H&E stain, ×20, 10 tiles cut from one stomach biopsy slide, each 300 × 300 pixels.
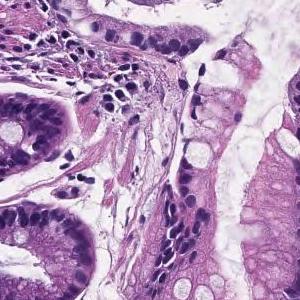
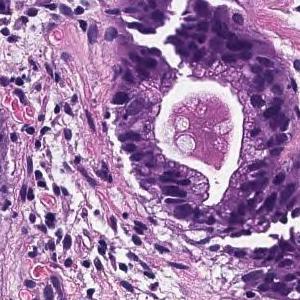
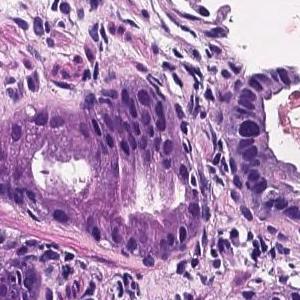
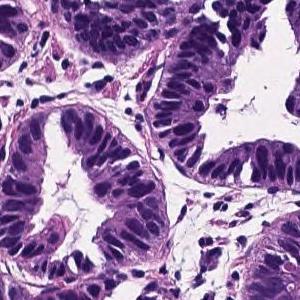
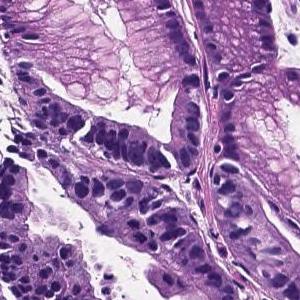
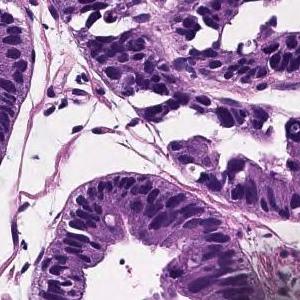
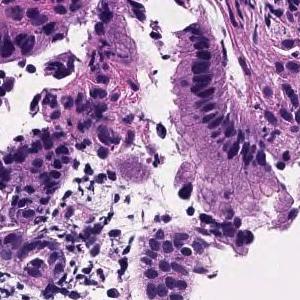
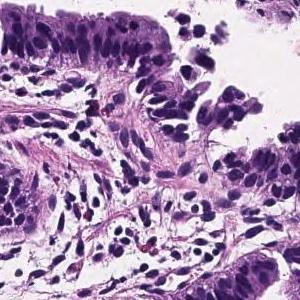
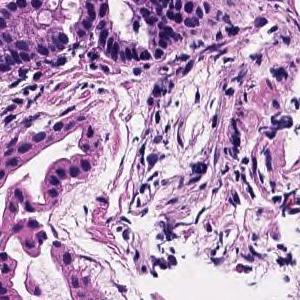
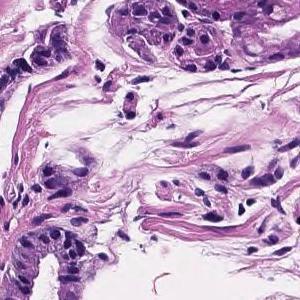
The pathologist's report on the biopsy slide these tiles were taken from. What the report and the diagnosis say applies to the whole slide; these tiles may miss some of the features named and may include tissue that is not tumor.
Tumor cells are large, highly columnar, large club-shaped nuclei, and are associated with chromatin aggregation. Papillary adenocarcinoma.
